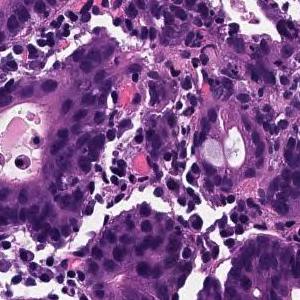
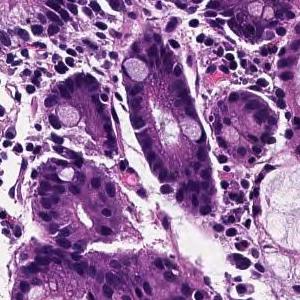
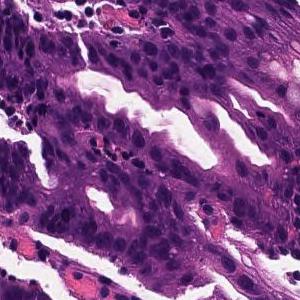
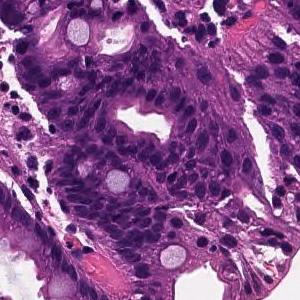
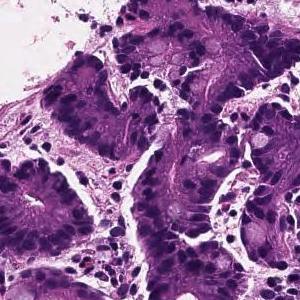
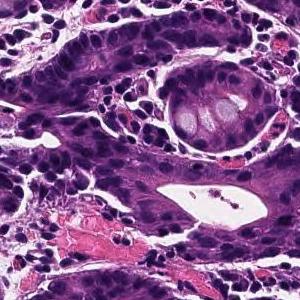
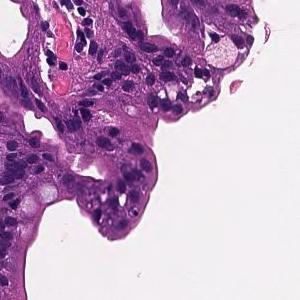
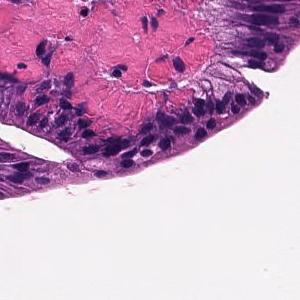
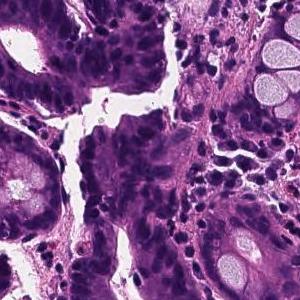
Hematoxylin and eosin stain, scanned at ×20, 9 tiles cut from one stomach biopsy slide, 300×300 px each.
Report on the slide these tiles come from. What the report and the diagnosis say applies to the whole slide; these tiles may miss some of the features named and may include tissue that is not tumor.
In the superficial epithelium, tumor tissue that invades by forming medium-sized to small, irregular ducts is observed. moderately differentiated tubular adenocarcinoma.
